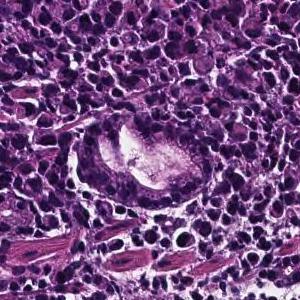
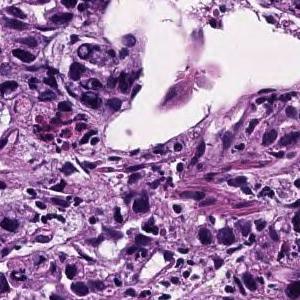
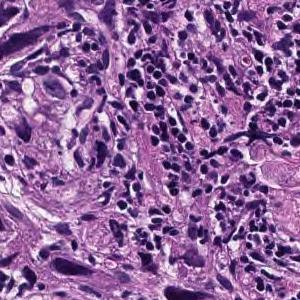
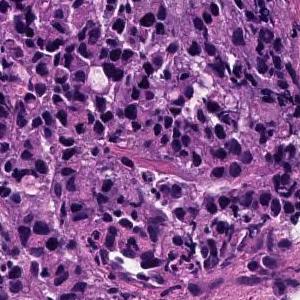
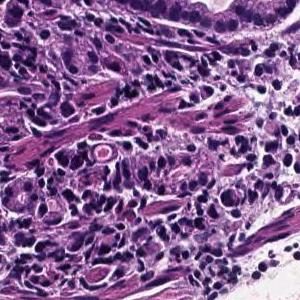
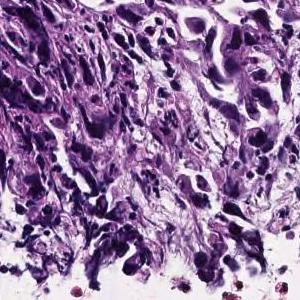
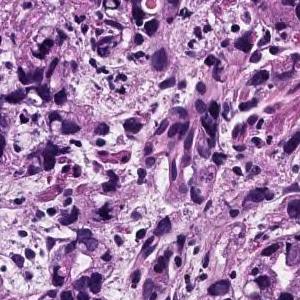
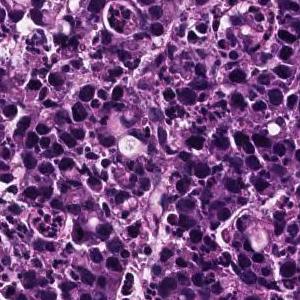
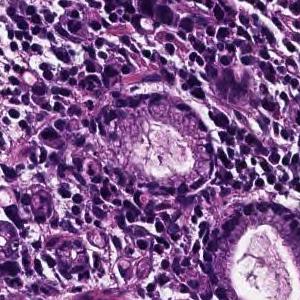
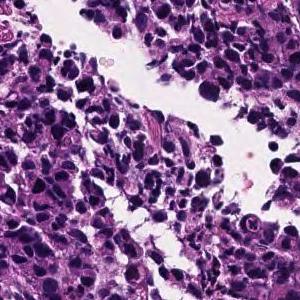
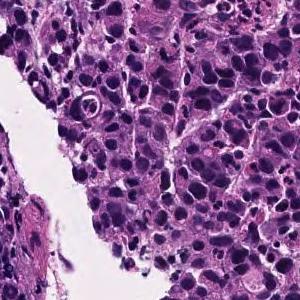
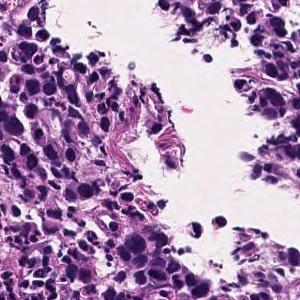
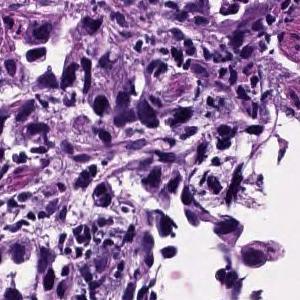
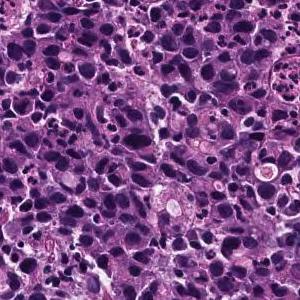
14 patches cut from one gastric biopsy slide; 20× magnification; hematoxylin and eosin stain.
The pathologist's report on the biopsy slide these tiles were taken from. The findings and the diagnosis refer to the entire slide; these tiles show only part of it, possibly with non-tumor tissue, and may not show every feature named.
The superficial epithelium shows a large sheet-like shape, and some tumor tissue infiltrates with small irregular ducts. Poorly differentiated adenocarcinoma, solid-type
Histologic type: Poorly differentiated adenocarcinoma, solid type, a category of the Japanese Classification of Gastric Carcinoma; in the WHO 2019 classification it is tubular adenocarcinoma, poorly differentiated.
